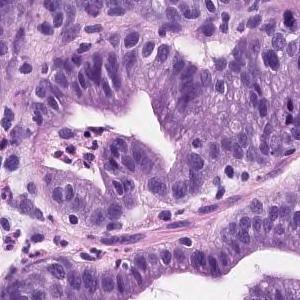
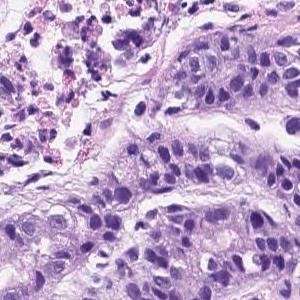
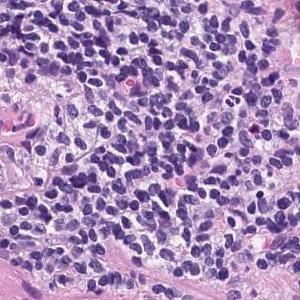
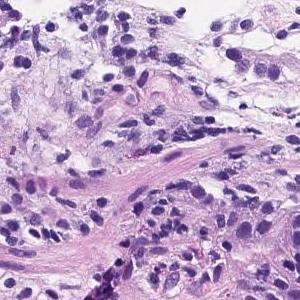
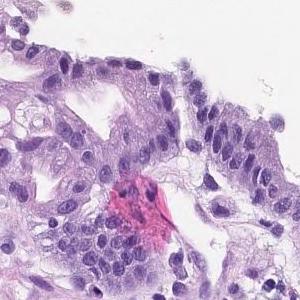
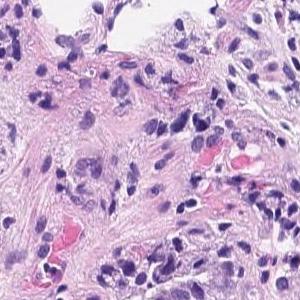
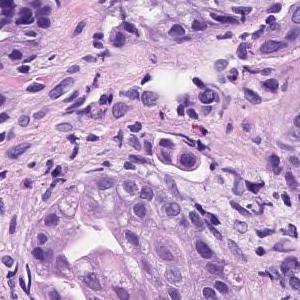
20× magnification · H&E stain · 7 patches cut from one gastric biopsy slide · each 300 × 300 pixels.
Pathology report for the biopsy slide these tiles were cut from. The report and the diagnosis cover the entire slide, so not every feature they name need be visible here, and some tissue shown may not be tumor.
Tumor tissue consisting of medium-sized and irregular ducts is observed infiltrating in the superficial epithelium. Tumor cells are highly columnar, with nuclei aligned basolaterally and polarized. Well differentiated tubular adenocarcinoma.
